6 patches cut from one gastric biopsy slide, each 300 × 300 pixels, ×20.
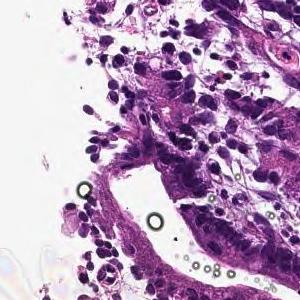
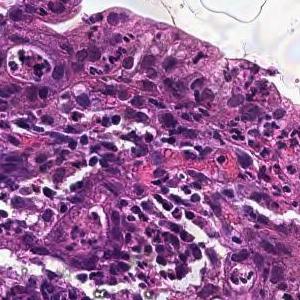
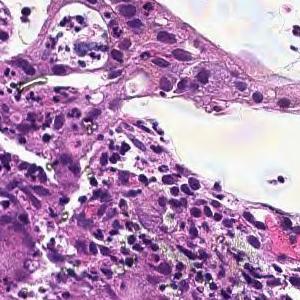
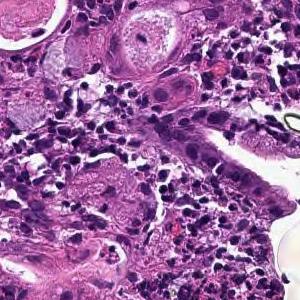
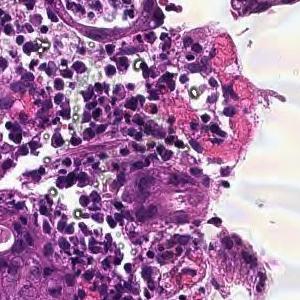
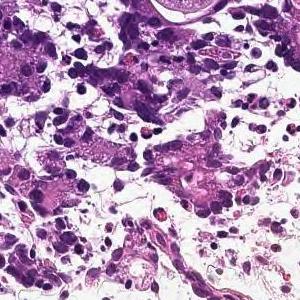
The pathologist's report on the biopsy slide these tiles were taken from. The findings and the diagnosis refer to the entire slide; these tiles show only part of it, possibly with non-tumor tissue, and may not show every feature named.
In the superficial epithelium, tumor tissue that invades by forming medium-sized to small, irregular ducts is observed. moderately differentiated tubular adenocarcinoma.
